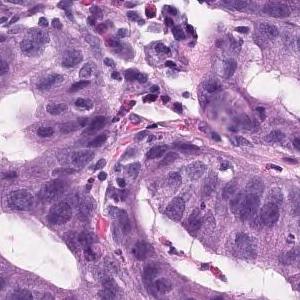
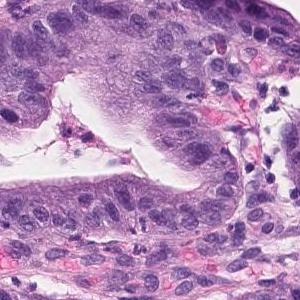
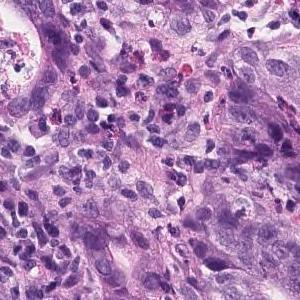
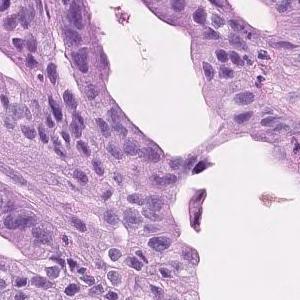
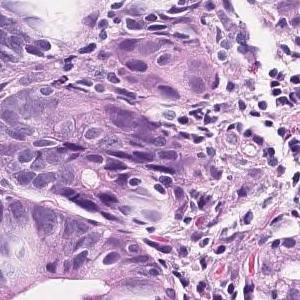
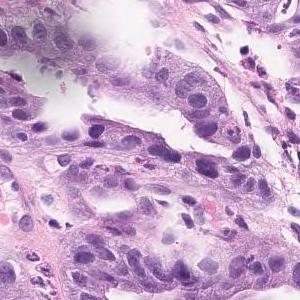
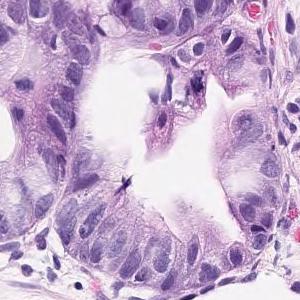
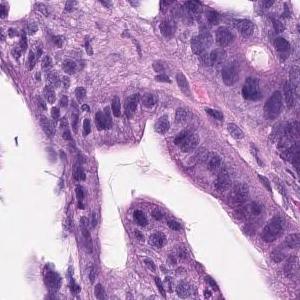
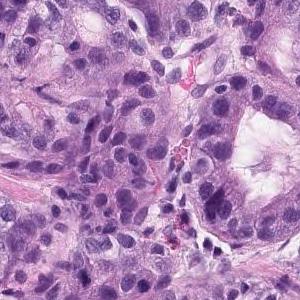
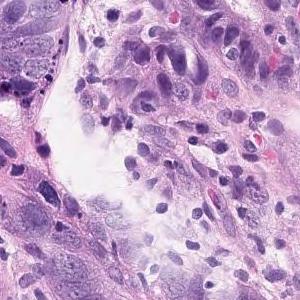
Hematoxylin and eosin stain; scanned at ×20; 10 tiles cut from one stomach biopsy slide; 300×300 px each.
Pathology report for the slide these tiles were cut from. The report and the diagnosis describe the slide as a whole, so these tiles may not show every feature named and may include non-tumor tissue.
On the superficial epithelium, tumor tissue consisting of medium-sized to large-sized, round or irregular glandular duct growth images is observed. Well differentiated adenocarcinoma.
Histologic type: Well differentiated tubular adenocarcinoma.
